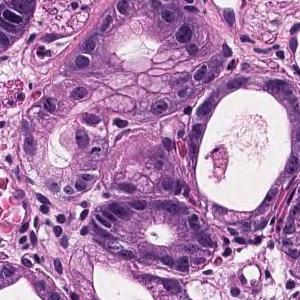
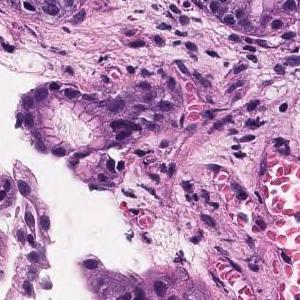
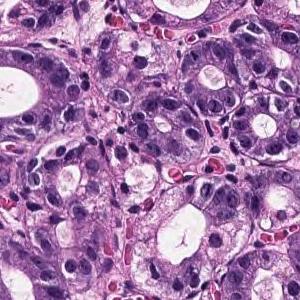
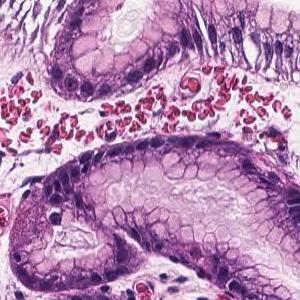
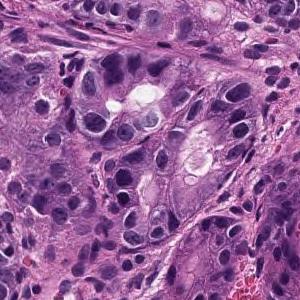
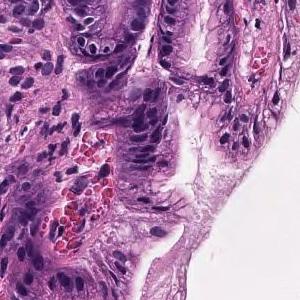
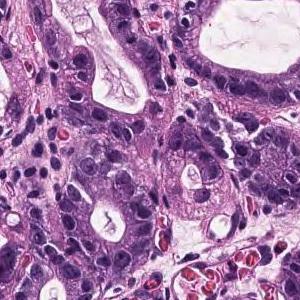
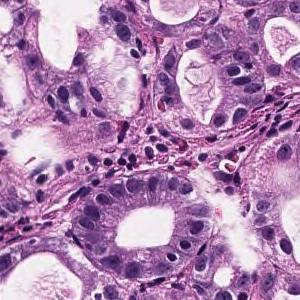
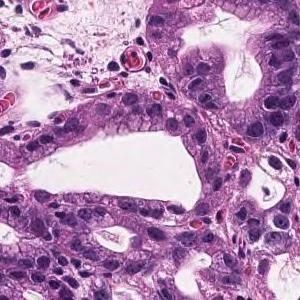
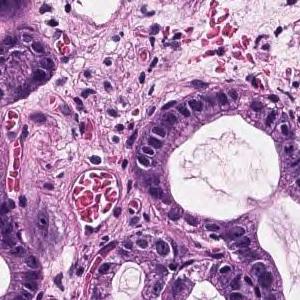
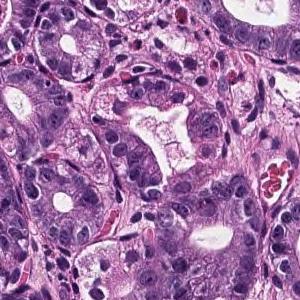
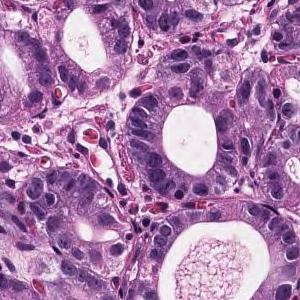
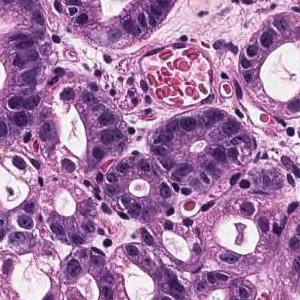
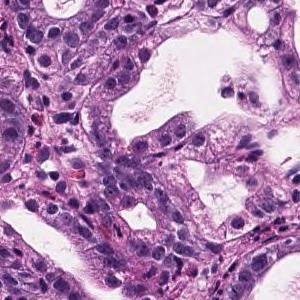
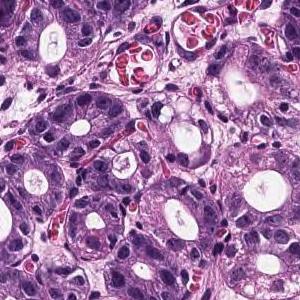
15 image tiles from a single gastric biopsy slide · each 300 × 300 pixels · H&E stain.
Pathology report for the slide these tiles were cut from. What the report and the diagnosis say applies to the whole slide; these tiles may miss some of the features named and may include tissue that is not tumor.
On the superficial epithelium, tumor tissue that infiltrates by forming medium-sized round or small irregular ducts is observed. Papillary adenocarcinoma
